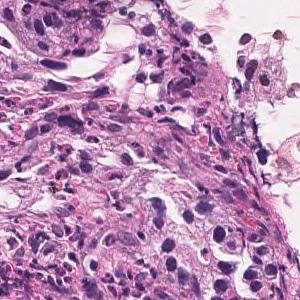
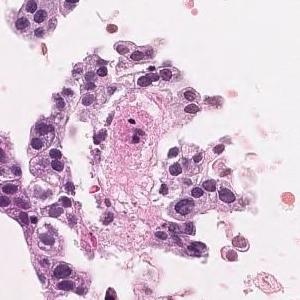
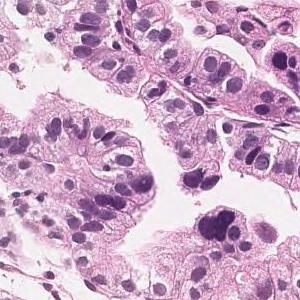
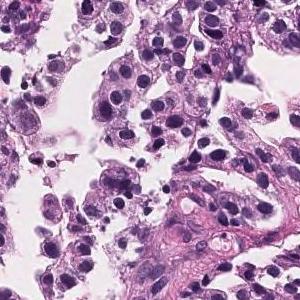
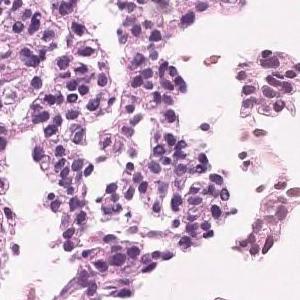
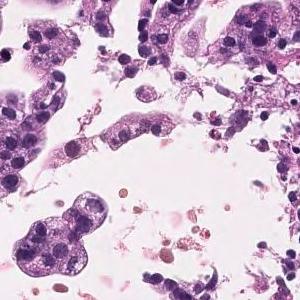
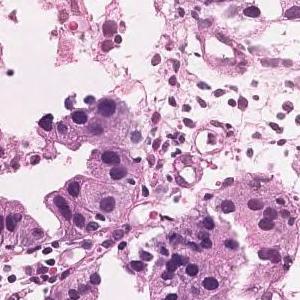
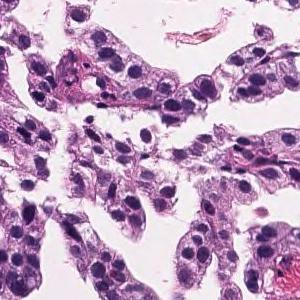
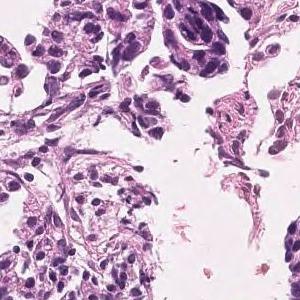
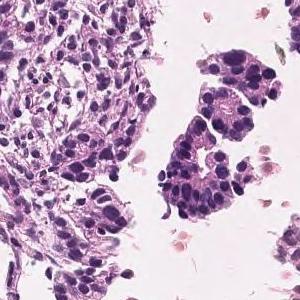
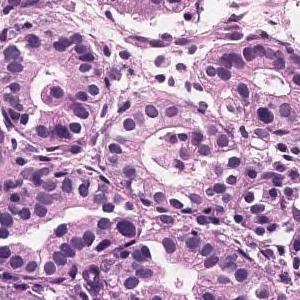
11 tiles from the same stomach biopsy slide, 300 × 300 pixels each, ×20, H&E stain.
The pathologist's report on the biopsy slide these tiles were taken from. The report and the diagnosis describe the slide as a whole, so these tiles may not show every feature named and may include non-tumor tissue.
In the superficial epithelium, tumor tissue that invades by forming medium-sized to small, irregular ducts is observed. moderately differentiated tubular adenocarcinoma.
